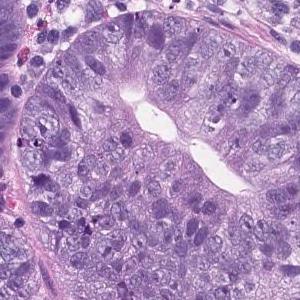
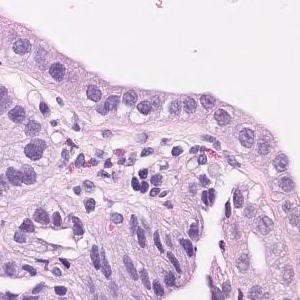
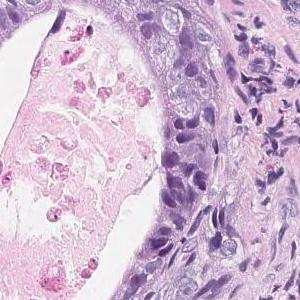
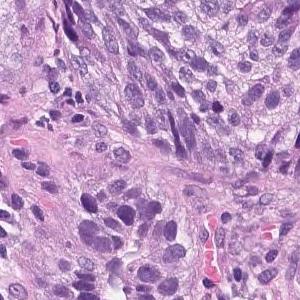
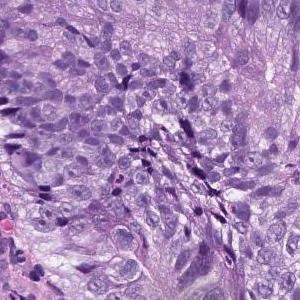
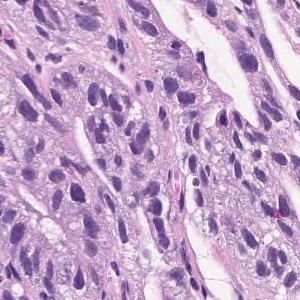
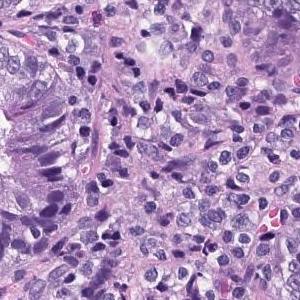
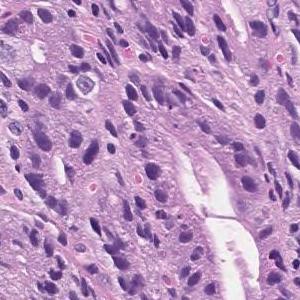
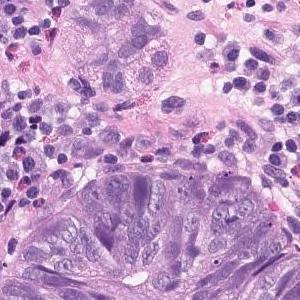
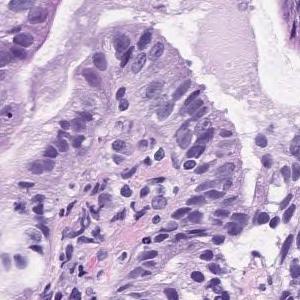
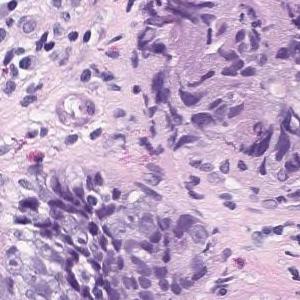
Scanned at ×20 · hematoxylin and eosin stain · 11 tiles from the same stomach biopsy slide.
Pathology report for the slide these tiles were cut from. The findings and the diagnosis refer to the entire slide; these tiles show only part of it, possibly with non-tumor tissue, and may not show every feature named.
On the superficial epithelium, tumor tissue consisting of medium to small irregular tubules partially fused and proliferated is observed. moderately differentiated tubular adenocarcinoma
